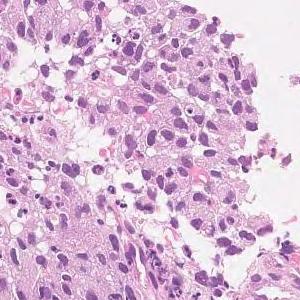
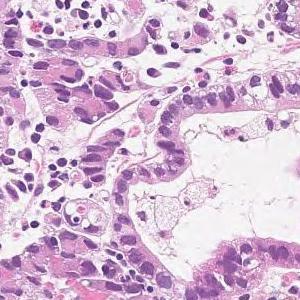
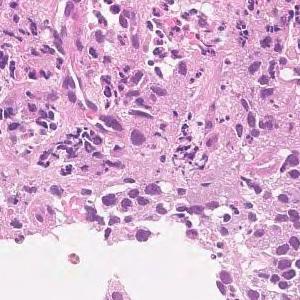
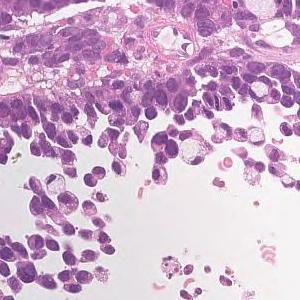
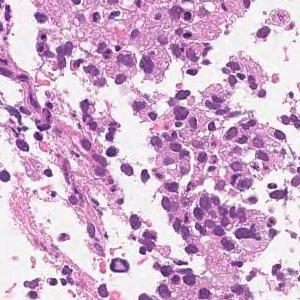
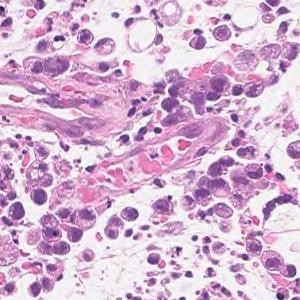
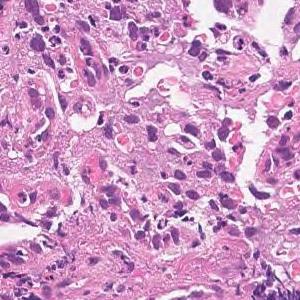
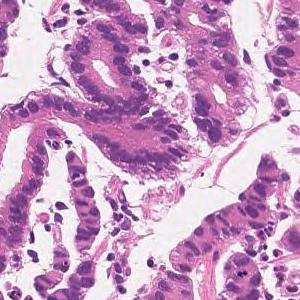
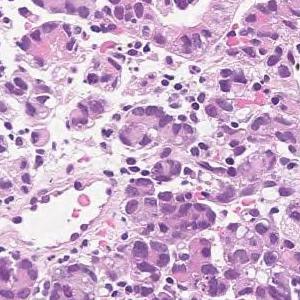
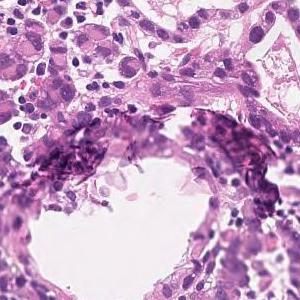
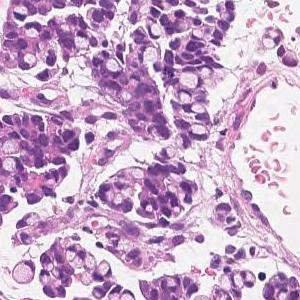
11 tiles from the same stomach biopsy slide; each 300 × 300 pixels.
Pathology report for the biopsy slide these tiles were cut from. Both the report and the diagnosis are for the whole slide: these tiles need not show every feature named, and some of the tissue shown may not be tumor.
Medium to small, irregular glandular ducts are formed in the superficial epithelium, and in some cases, the glandular ducts are fused to show solid alveolar lesions and infiltrating tumor tissue is observed. Moderately to poorly differentiated adenocarcinoma.
